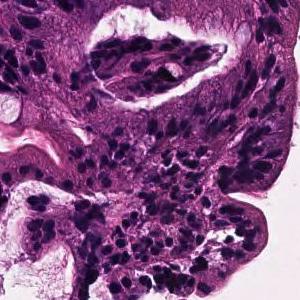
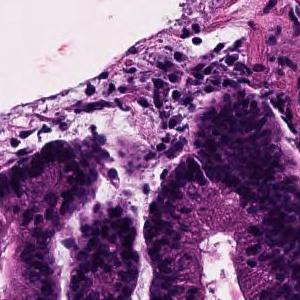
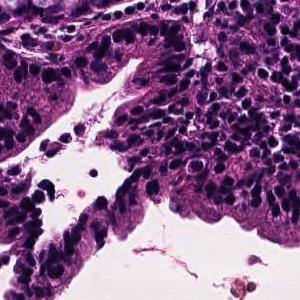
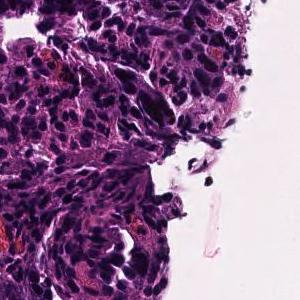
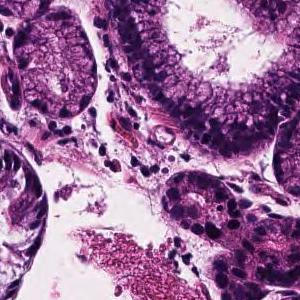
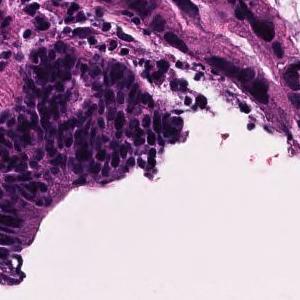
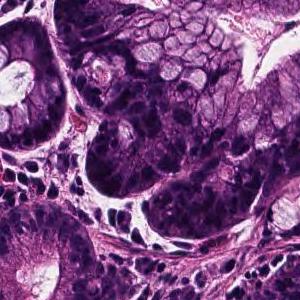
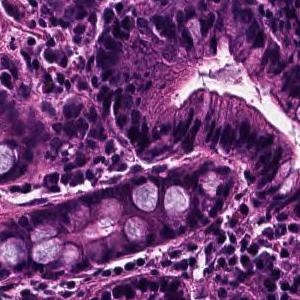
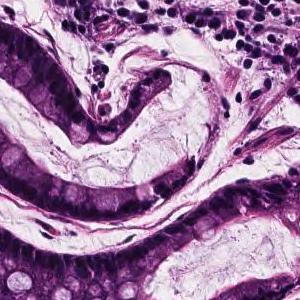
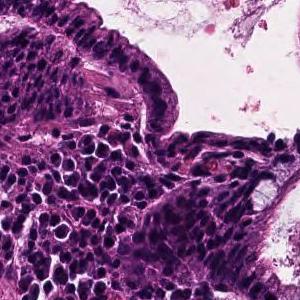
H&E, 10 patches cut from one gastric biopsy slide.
Diagnostic report for the slide these tiles come from. What the report and the diagnosis say applies to the whole slide; these tiles may miss some of the features named and may include tissue that is not tumor.
In the superficial epithelium, tumor tissue infiltrated by partial fusion of medium-sized to small, irregular glandular ducts is observed. moderately differentiated tubular adenocarcinoma
